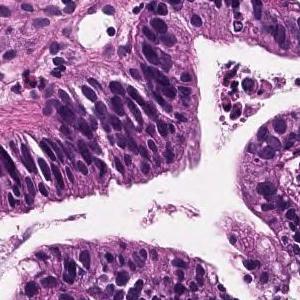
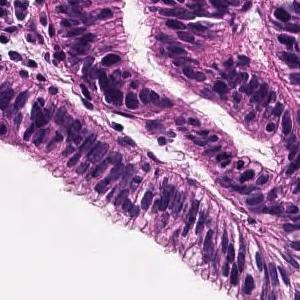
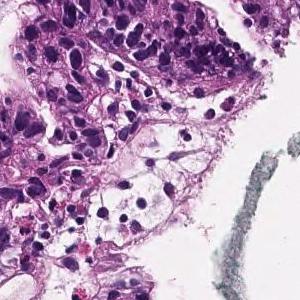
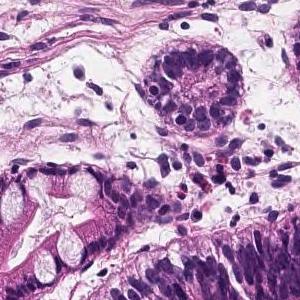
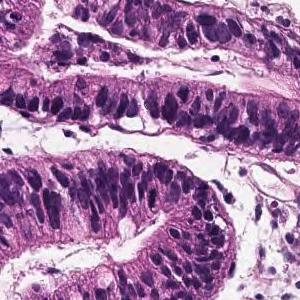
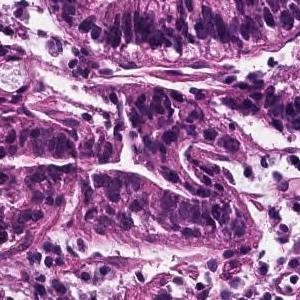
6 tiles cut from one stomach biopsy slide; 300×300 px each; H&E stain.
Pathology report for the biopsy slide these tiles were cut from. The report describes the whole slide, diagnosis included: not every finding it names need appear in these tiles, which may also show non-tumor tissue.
Tumor cells are large, highly columnar, large club-shaped nuclei, and are associated with chromatin aggregation. Papillary adenocarcinoma.
